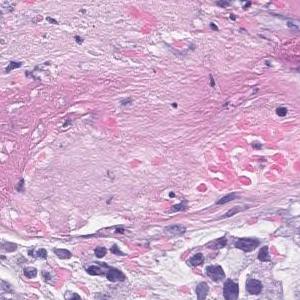
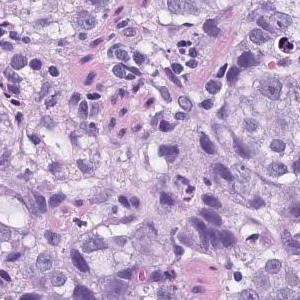
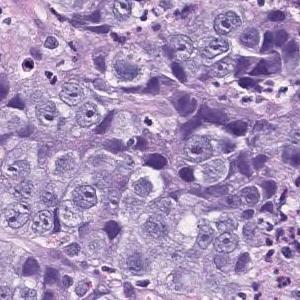
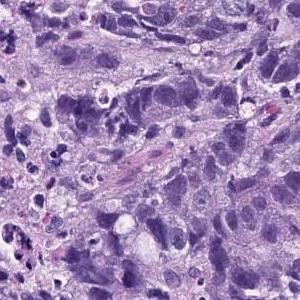
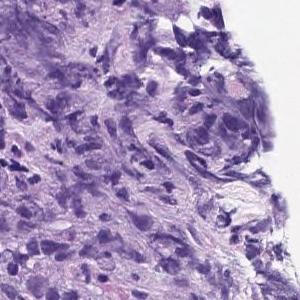
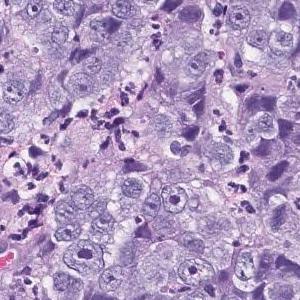
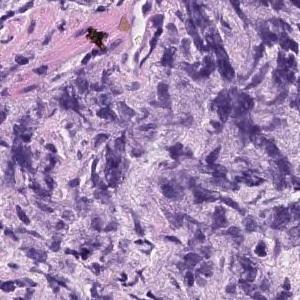
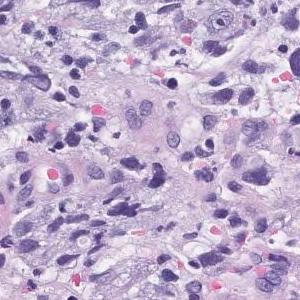
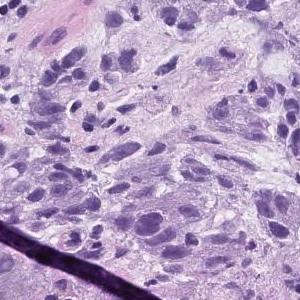
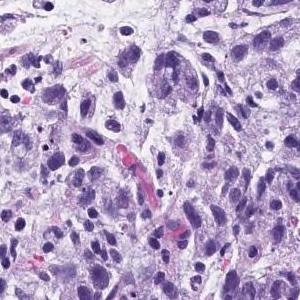
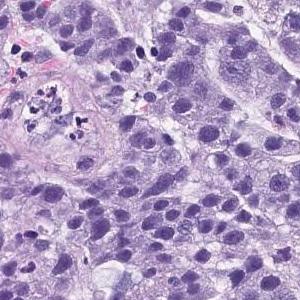
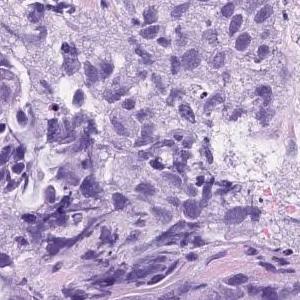
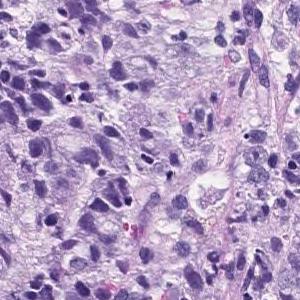
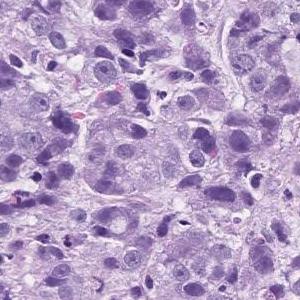
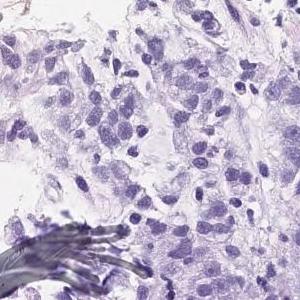
15 patches cut from one gastric biopsy slide.
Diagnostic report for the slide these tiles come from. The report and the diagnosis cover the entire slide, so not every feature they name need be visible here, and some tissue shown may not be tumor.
Atypical l cells with atypical nuclei forming solid vesicles or small irregular atypical ducts that proliferate in a complex manner. poorly differentiated adenocarcinoma, solid type, moderately differentiated tubular adenocarcinoma
The term "solid type" comes from the Japanese Classification of Gastric Carcinoma; the WHO 2019 equivalent is tubular adenocarcinoma, poorly differentiated.
